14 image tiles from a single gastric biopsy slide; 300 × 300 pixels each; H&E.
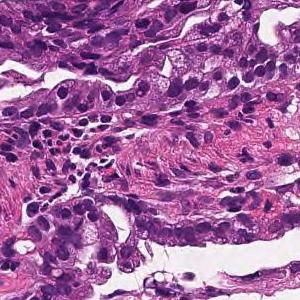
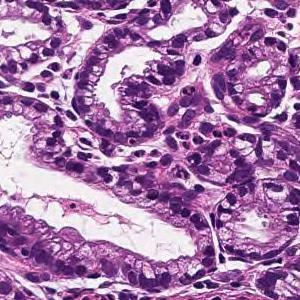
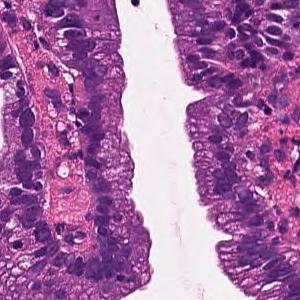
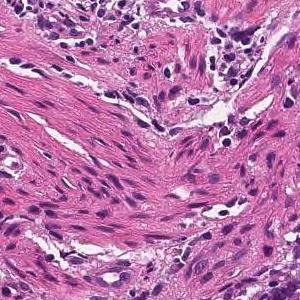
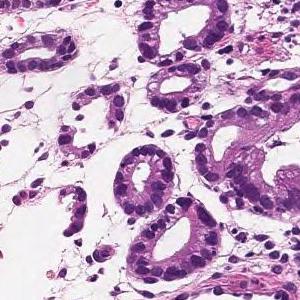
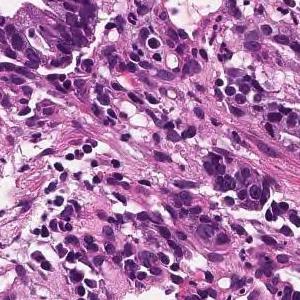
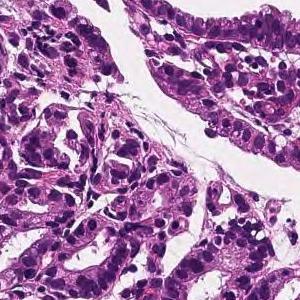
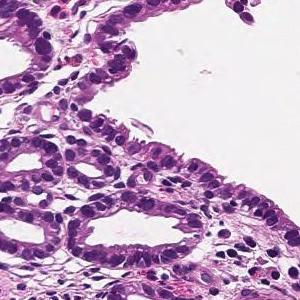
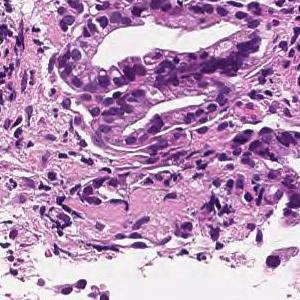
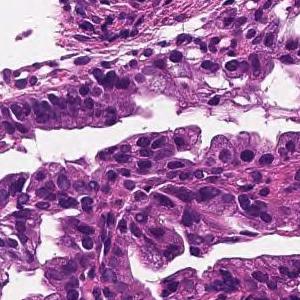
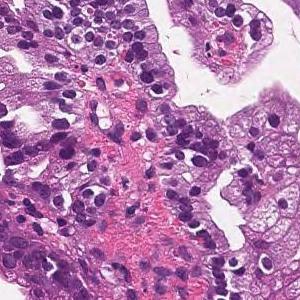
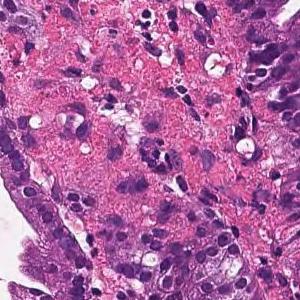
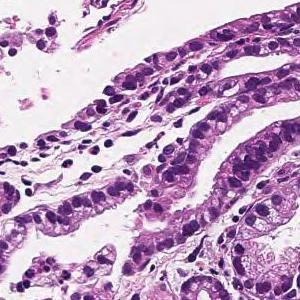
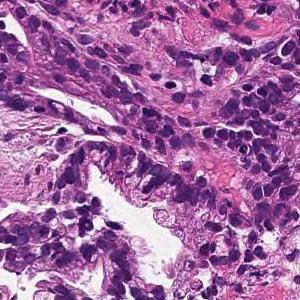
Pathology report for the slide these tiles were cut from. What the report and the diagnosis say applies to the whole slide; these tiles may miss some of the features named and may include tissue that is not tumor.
On the superficial epithelium, tumor tissue that infiltrates by forming medium-sized papillary or small irregular ducts is observed. Papillary adenocarcinoma
